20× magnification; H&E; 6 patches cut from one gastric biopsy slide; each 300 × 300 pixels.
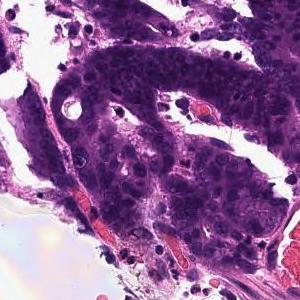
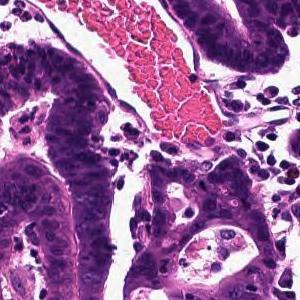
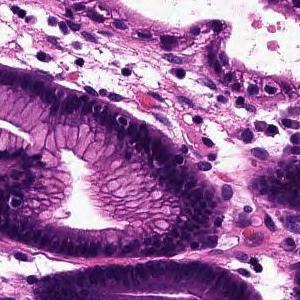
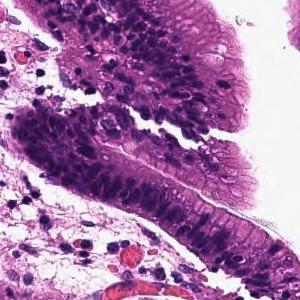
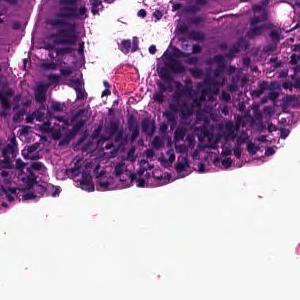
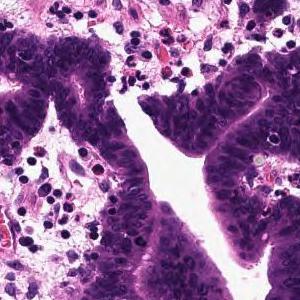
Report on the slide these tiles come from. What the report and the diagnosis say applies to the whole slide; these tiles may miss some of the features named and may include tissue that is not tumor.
Tumor tissue that infiltrates by forming large papillary or large irregular glandular ducts is observed confined to the mucosa. Papillary adenocarcinoma
